9 tiles cut from one stomach biopsy slide · 300 × 300 pixels each · hematoxylin and eosin stain · scanned at ×20.
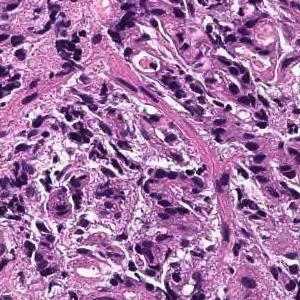
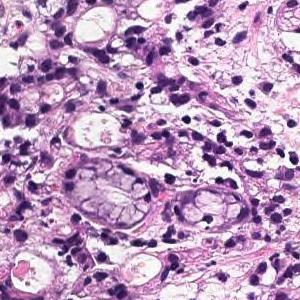
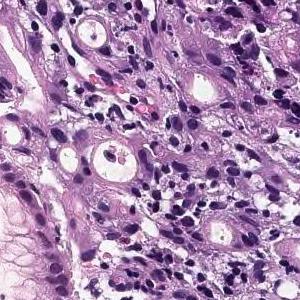
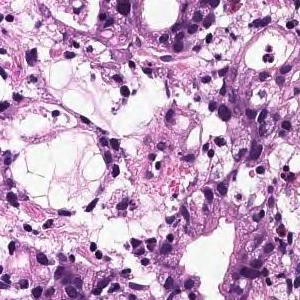
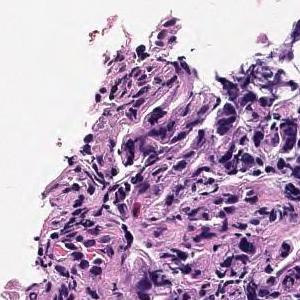
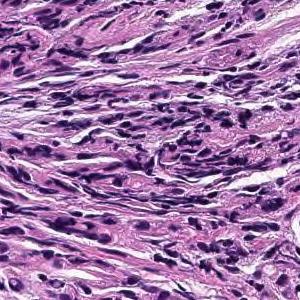
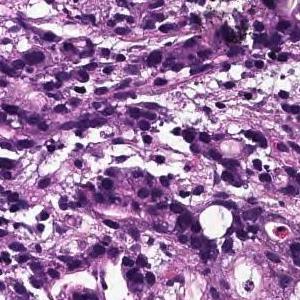
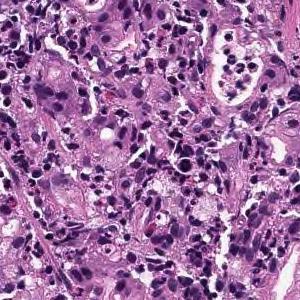
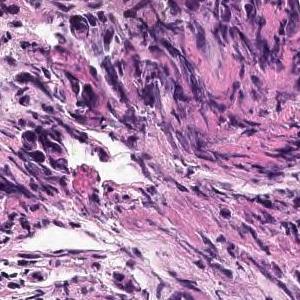
The pathologist's report on the biopsy slide these tiles were taken from. The report describes the whole slide, diagnosis included: not every finding it names need appear in these tiles, which may also show non-tumor tissue.
Tumor tissue consisting of cord-like or small, irregular glandular ducts fused and infiltrated is observed in the superficial epithelium. Poorly differentiated adenocarcinoma, non-solid type
The term "non-solid type" comes from the Japanese Classification of Gastric Carcinoma.
